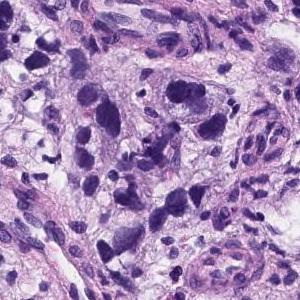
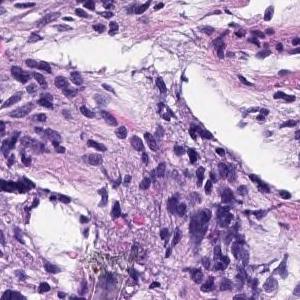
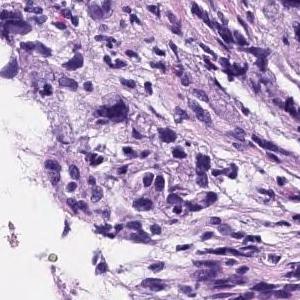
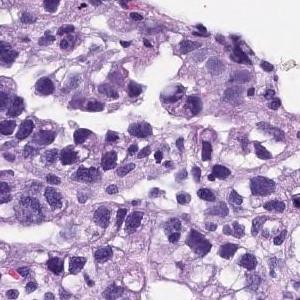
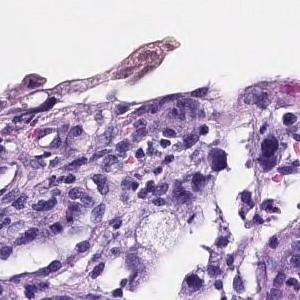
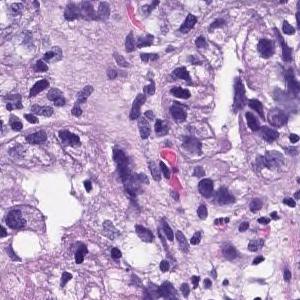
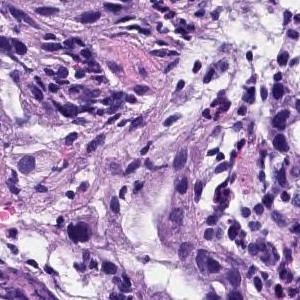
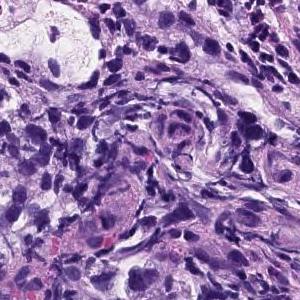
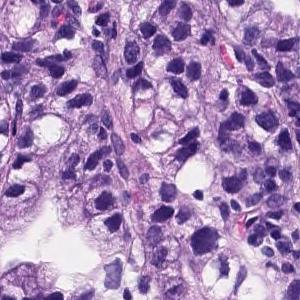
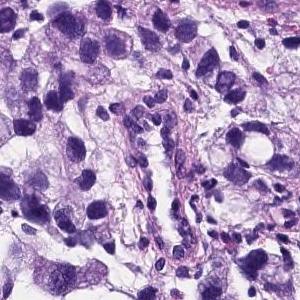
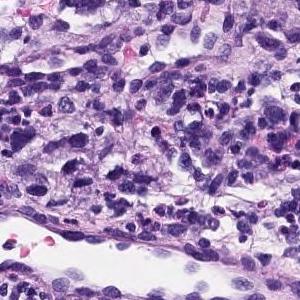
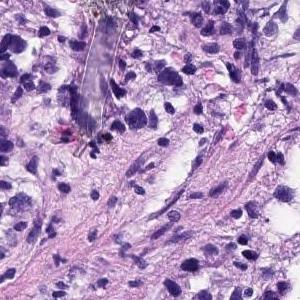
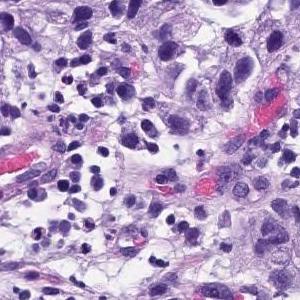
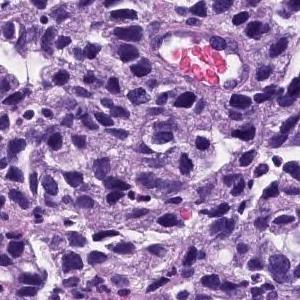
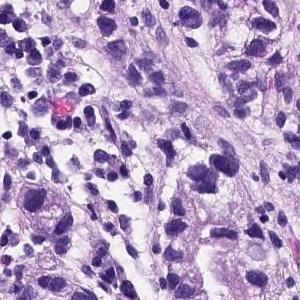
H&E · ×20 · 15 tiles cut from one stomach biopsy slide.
Pathology report for the slide these tiles were cut from. The findings and the diagnosis refer to the entire slide; these tiles show only part of it, possibly with non-tumor tissue, and may not show every feature named.
Medium to small, irregular glandular ducts are formed in the superficial epithelium, and in some cases, the glandular ducts are fused to show solid alveolar lesions and infiltrating tumor tissue is observed. Poorly differentiated adenocarcinoma, Moderately differentiated adenocarcinoma.
Dataset label: moderately differentiated tubular adenocarcinoma.
